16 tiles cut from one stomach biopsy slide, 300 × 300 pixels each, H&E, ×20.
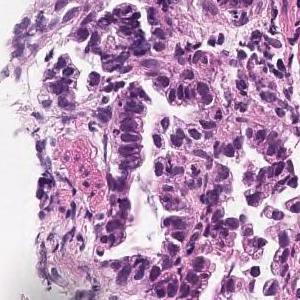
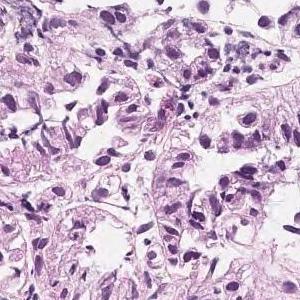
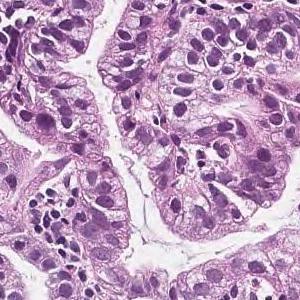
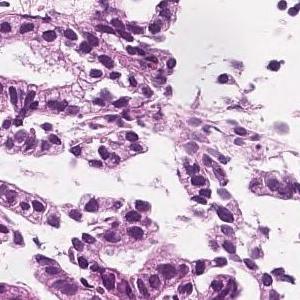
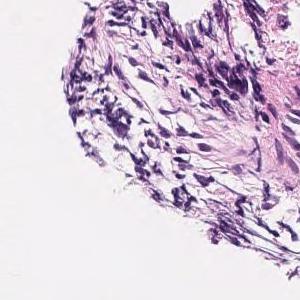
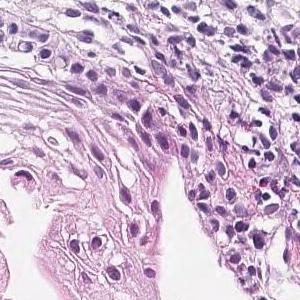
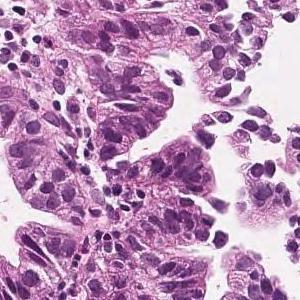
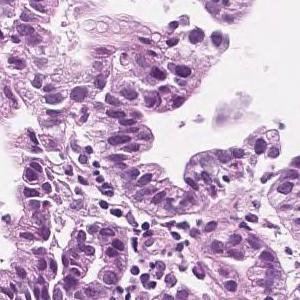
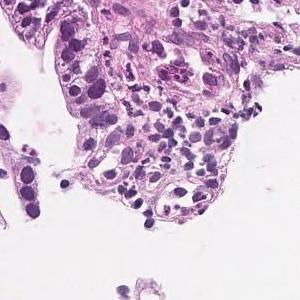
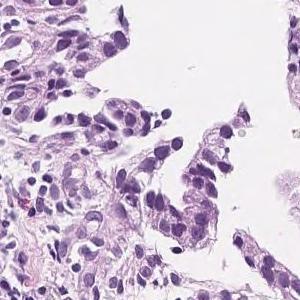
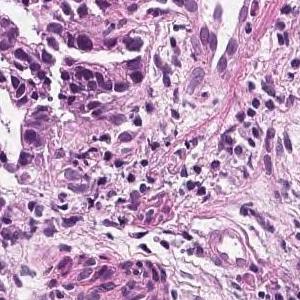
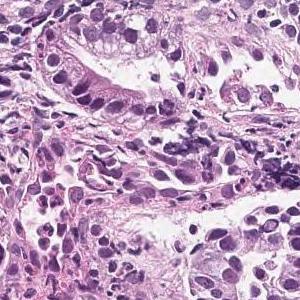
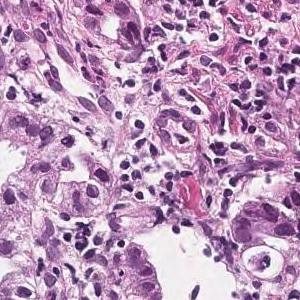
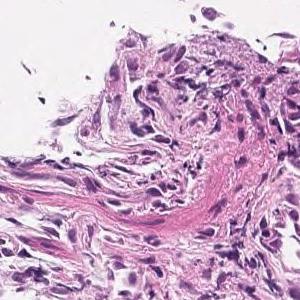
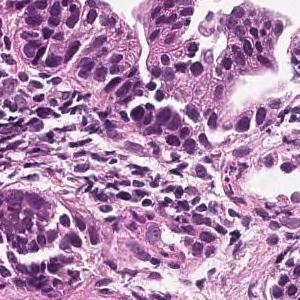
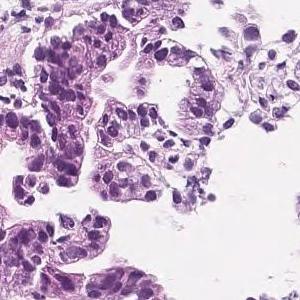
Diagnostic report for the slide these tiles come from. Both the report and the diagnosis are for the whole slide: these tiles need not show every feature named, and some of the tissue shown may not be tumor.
In the superficial epithelium, tumor tissue that invades by forming medium-sized to small, irregular ducts is observed. moderately differentiated tubular adenocarcinoma.
